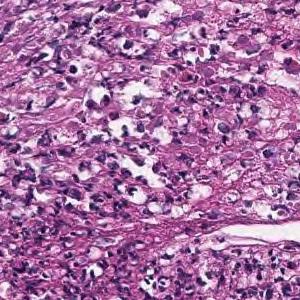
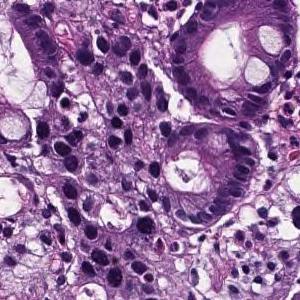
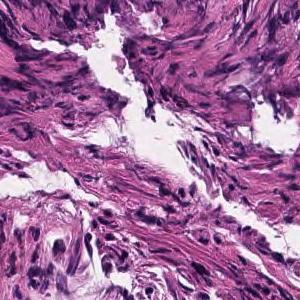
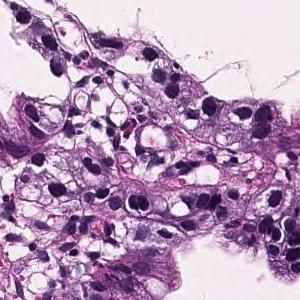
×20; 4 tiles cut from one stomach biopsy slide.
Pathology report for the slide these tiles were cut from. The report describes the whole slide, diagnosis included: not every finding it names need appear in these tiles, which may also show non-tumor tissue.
In the superficial epithelium, medium to small irregular gland ducts are formed, and in some cases, the ducts are fused to show solid alveolar lesions and infiltrating tumor tissue is observed. Moderately to poorly differentiated adenocarcinoma
